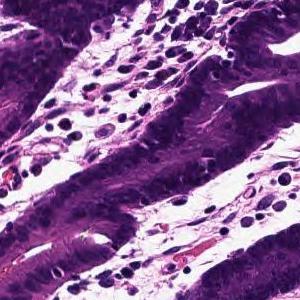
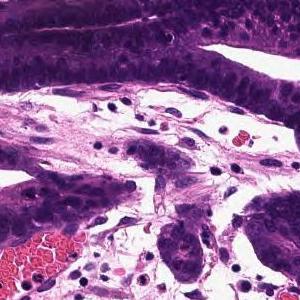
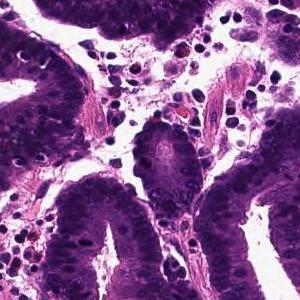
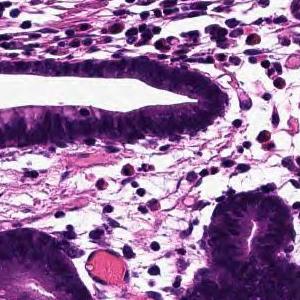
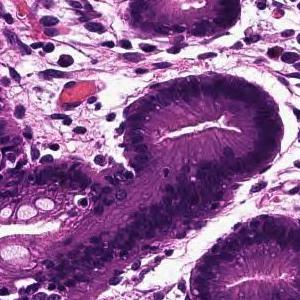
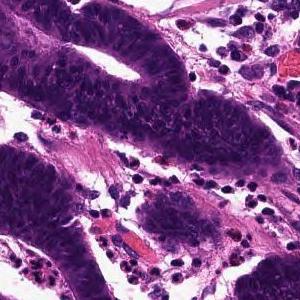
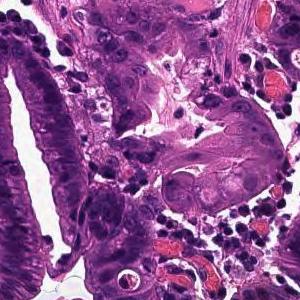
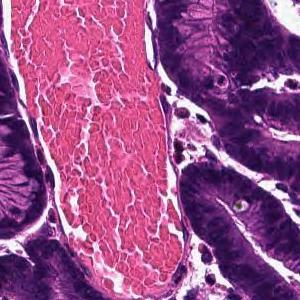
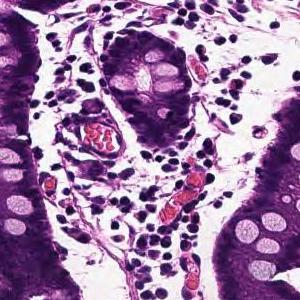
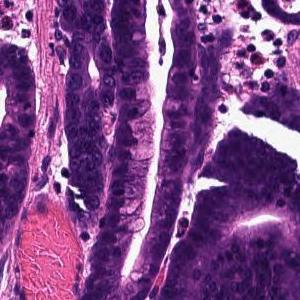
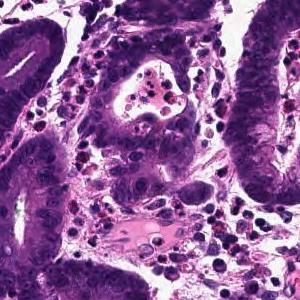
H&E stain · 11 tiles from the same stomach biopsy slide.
Diagnostic report for the slide these tiles come from. Both the report and the diagnosis are for the whole slide: these tiles need not show every feature named, and some of the tissue shown may not be tumor.
Tumor tissue that infiltrates by forming large papillary or large irregular glandular ducts is observed confined to the mucosa. Papillary adenocarcinoma
